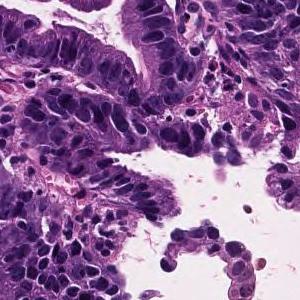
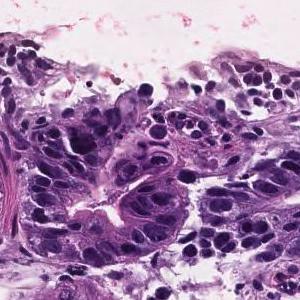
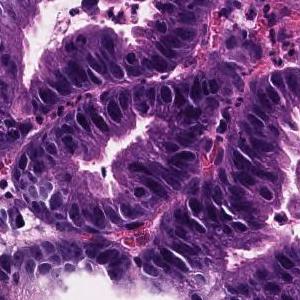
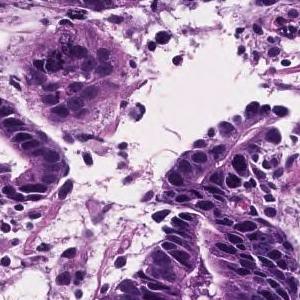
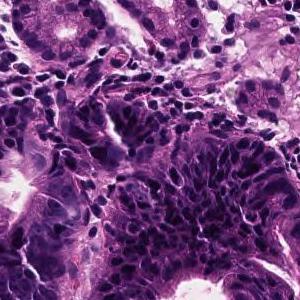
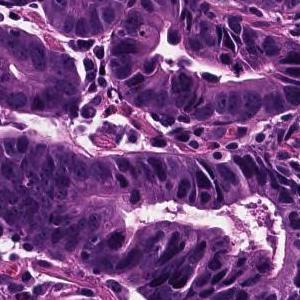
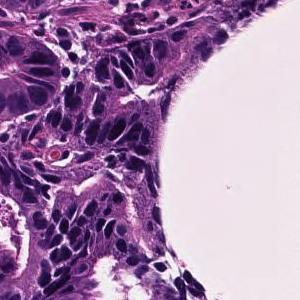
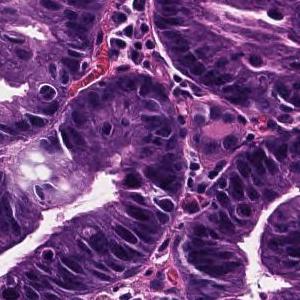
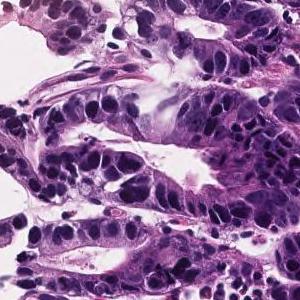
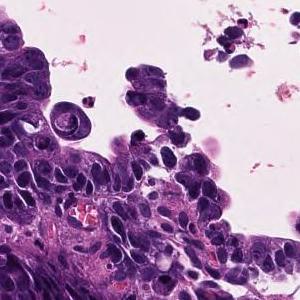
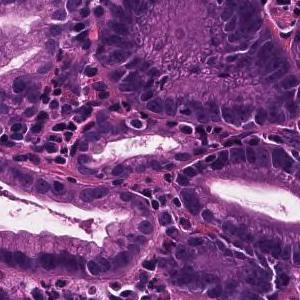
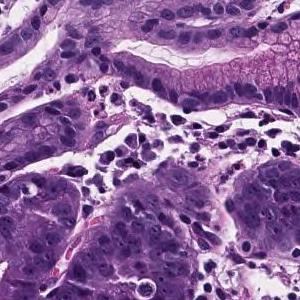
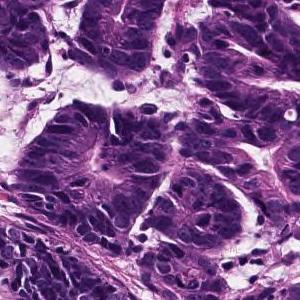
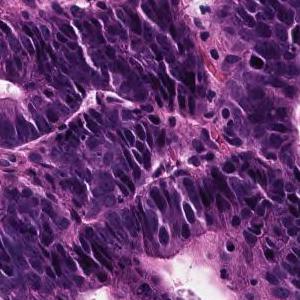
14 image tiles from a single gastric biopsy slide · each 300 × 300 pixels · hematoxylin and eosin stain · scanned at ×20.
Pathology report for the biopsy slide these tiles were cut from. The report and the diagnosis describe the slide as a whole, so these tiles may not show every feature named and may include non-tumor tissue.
On the superficial epithelium, tumor tissue consisting of growth of medium-sized to large-sized, round or irregular glandular ducts is observed. Well differentiated tubular adenocarcinoma
